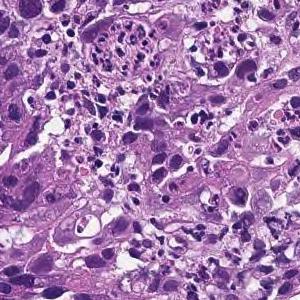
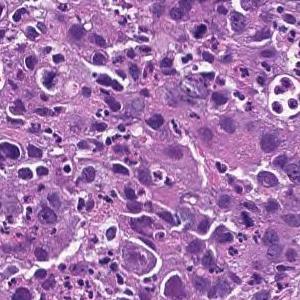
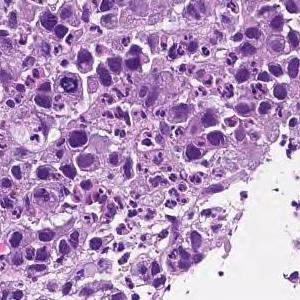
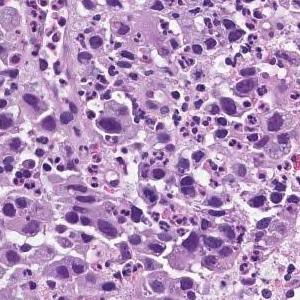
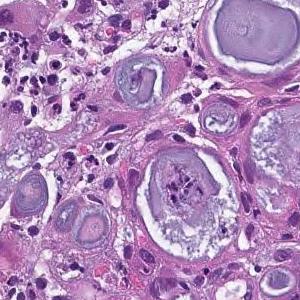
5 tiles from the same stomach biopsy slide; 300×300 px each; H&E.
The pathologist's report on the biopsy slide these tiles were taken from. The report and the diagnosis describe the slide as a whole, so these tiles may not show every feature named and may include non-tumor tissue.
The superficial epithelium shows a large sheet-like shape, and some tumor tissue infiltrates with small irregular ducts. Poorly differentiated adenocarcinoma, solid-type
Histological subtype: Poorly differentiated adenocarcinoma, solid type (Japanese Classification of Gastric Carcinoma). The WHO 2019 equivalent is tubular adenocarcinoma, poorly differentiated.
